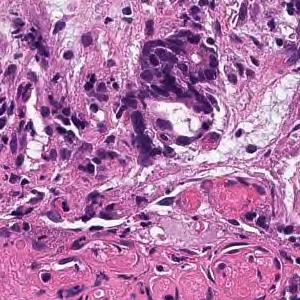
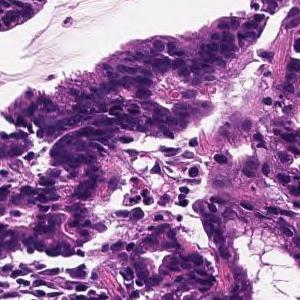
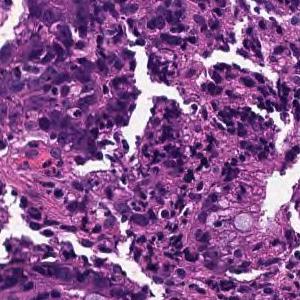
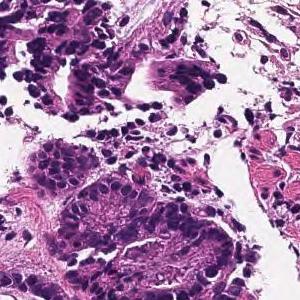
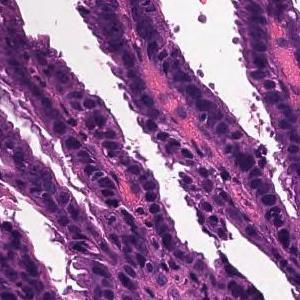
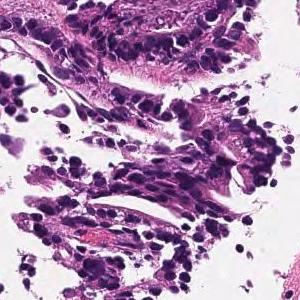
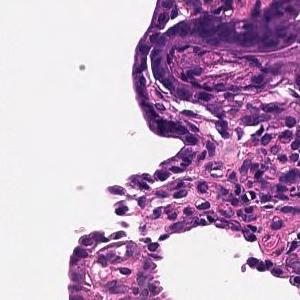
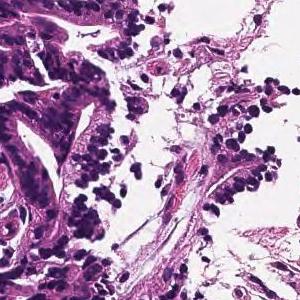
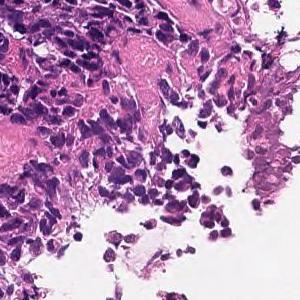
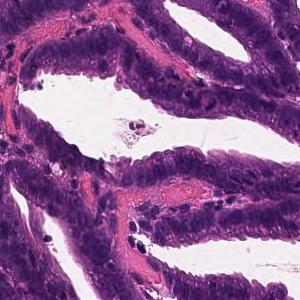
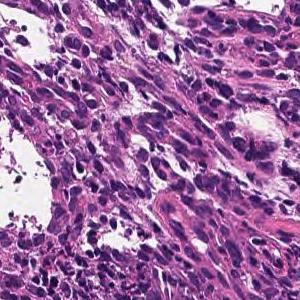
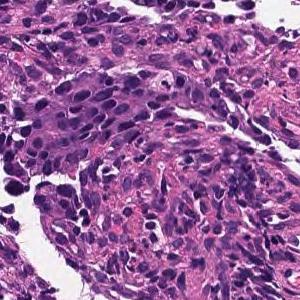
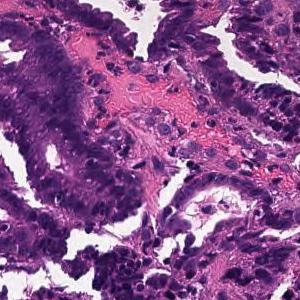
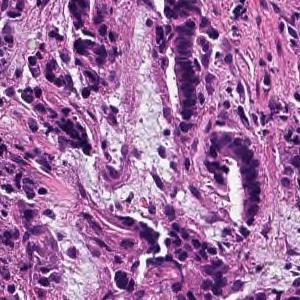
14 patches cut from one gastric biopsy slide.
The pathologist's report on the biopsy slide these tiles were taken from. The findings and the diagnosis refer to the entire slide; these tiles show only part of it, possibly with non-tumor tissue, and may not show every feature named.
Medium to small, irregular glandular ducts are formed in the superficial epithelium, and some tumor tissues show small cords and infiltrate. moderately differentiated tubular adenocarcinoma or Poorly differentiated adenocarcinoma, non-solid type
The dataset labels this slide moderately differentiated tubular adenocarcinoma.
The term "non-solid type" comes from the Japanese Classification of Gastric Carcinoma.
